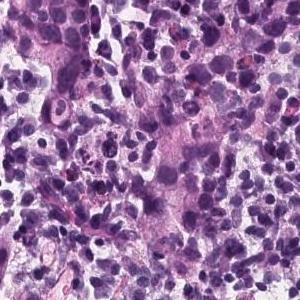
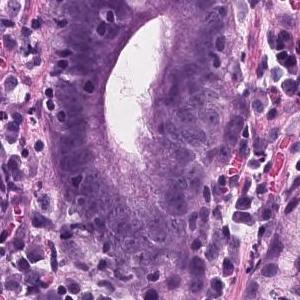
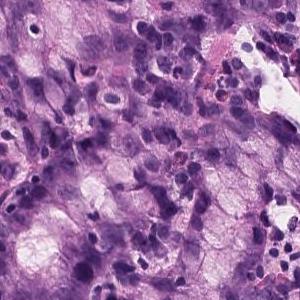
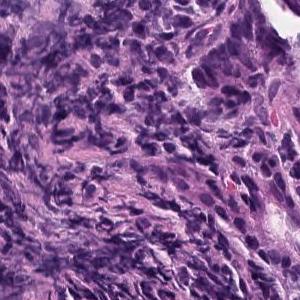
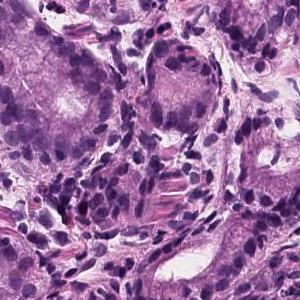
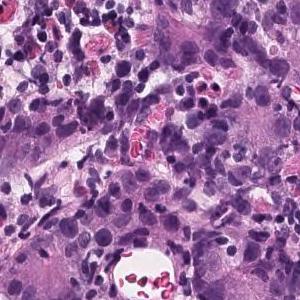
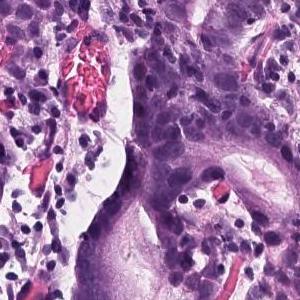
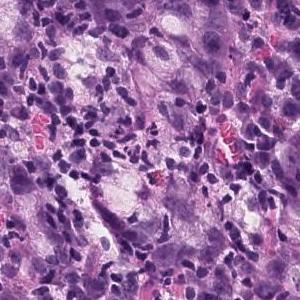
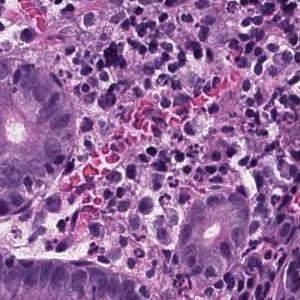
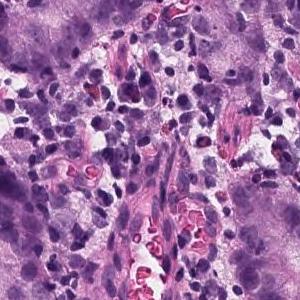
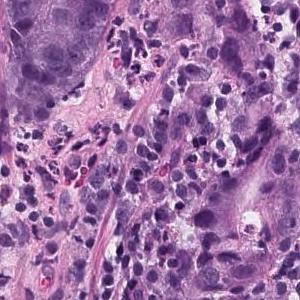
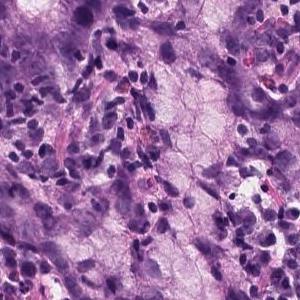
12 tiles cut from one stomach biopsy slide, hematoxylin and eosin stain.
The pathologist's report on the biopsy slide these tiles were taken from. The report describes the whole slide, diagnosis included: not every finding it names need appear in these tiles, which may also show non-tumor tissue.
In the superficial epithelium, tumor tissue that invades by forming medium-sized to small, irregular ducts is observed. Moderately differentiated adenocarcinoma.
Histological subtype: Moderately differentiated tubular adenocarcinoma.
